H&E · 11 tiles from the same stomach biopsy slide · 300×300 px each.
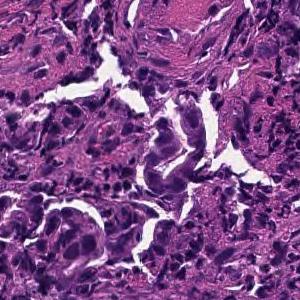
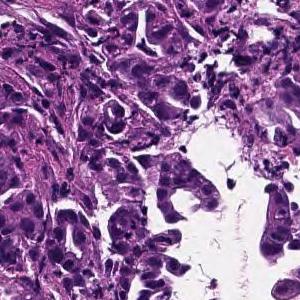
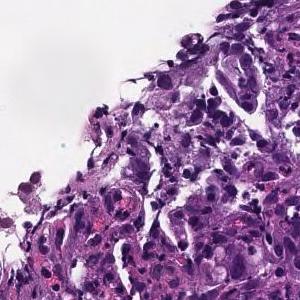
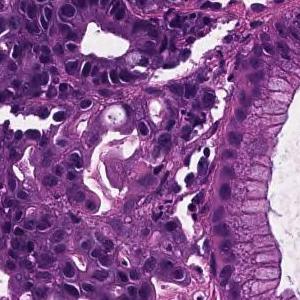
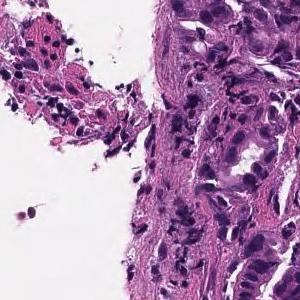
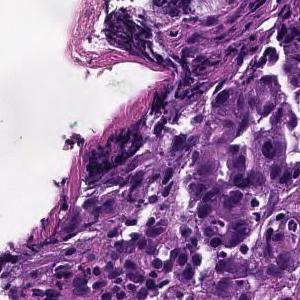
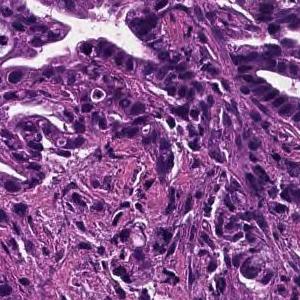
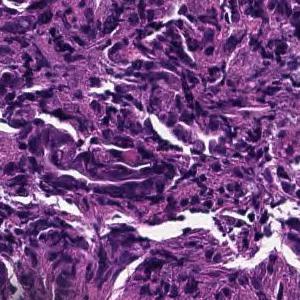
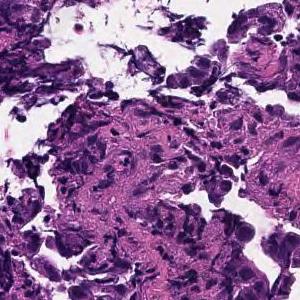
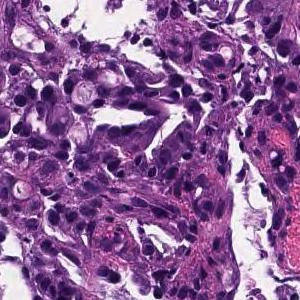
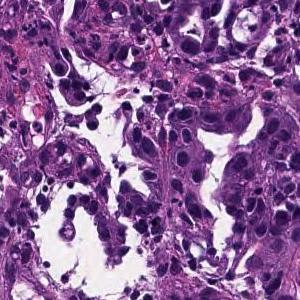
Diagnostic report for the slide these tiles come from. The findings and the diagnosis refer to the entire slide; these tiles show only part of it, possibly with non-tumor tissue, and may not show every feature named.
Tumor tissue consisting of medium-sized, cord-like or irregular glandular infiltration is observed in the superficial epithelium. Poorly differentiated adenocarcinoma, non-solid type or moderately differentiated tubular adenocarcinoma
Subtype: Moderately to poorly differentiated adenocarcinoma.
The non-solid type named here is a Japanese Classification of Gastric Carcinoma category.
